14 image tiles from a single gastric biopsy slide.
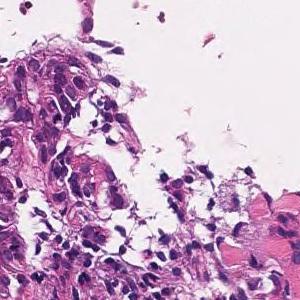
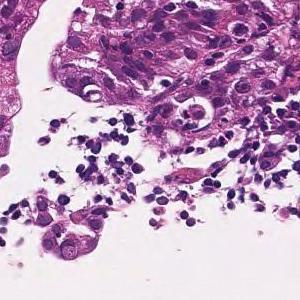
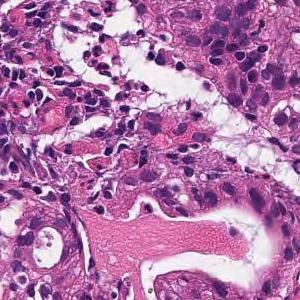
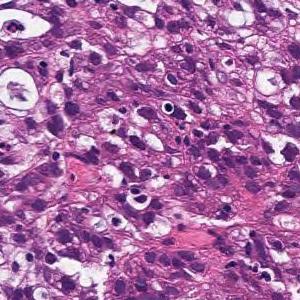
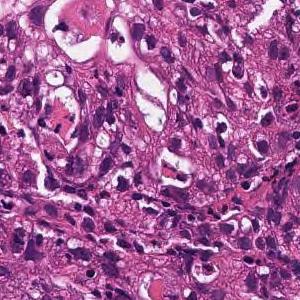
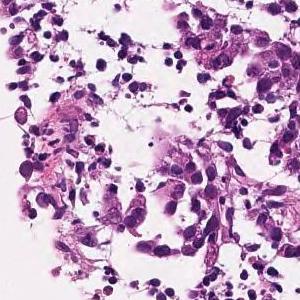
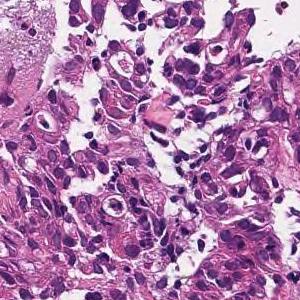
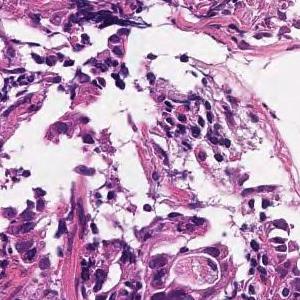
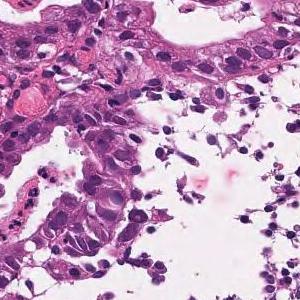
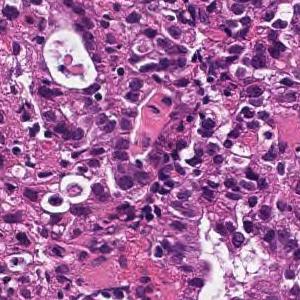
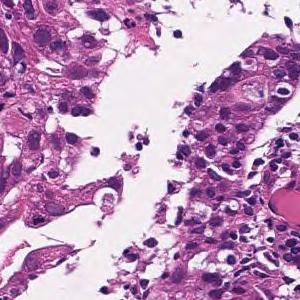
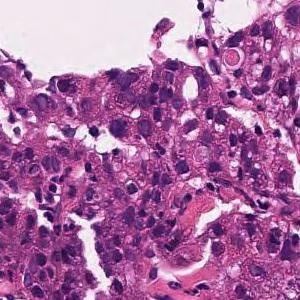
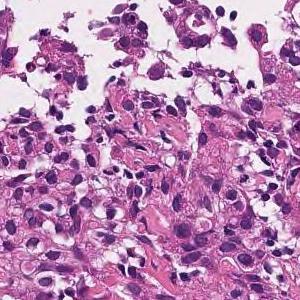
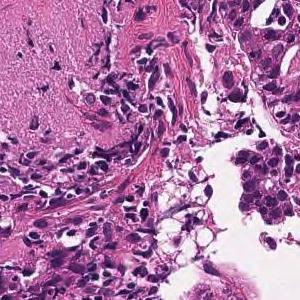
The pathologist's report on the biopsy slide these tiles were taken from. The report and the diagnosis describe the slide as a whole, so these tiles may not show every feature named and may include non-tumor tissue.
Tumor tissue consisting of cord-like or small, irregular glandular ducts fused and infiltrated is observed in the superficial epithelium. Poorly differentiated adenocarcinoma, non-solid type
The non-solid type named here is a Japanese Classification of Gastric Carcinoma category.
